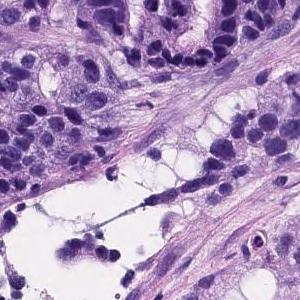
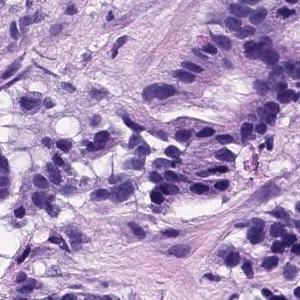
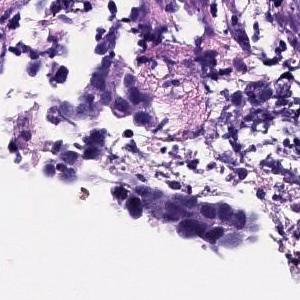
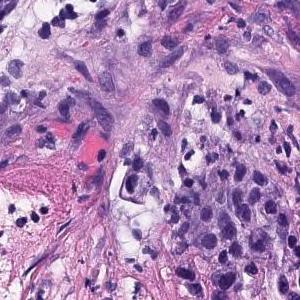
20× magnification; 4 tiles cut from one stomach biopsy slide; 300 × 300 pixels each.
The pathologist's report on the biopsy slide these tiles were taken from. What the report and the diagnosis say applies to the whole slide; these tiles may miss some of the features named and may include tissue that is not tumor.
In the superficial epithelium, tumor tissue that invades by forming medium-sized to small, irregular ducts is observed. Tumor cells are columnar or cuboidal in shape. Moderately differentiated adenocarcinoma.
Histological subtype: Moderately differentiated tubular adenocarcinoma.
